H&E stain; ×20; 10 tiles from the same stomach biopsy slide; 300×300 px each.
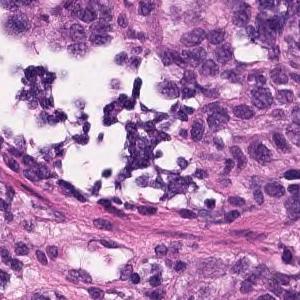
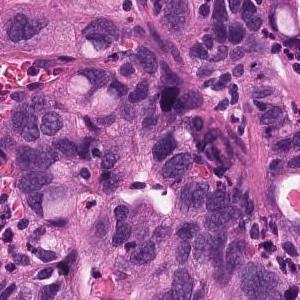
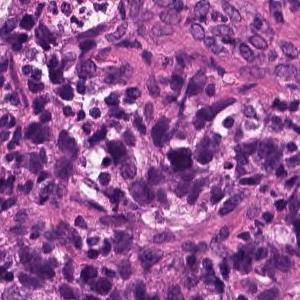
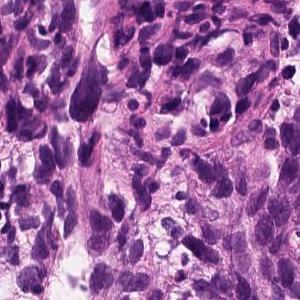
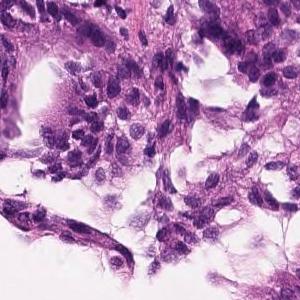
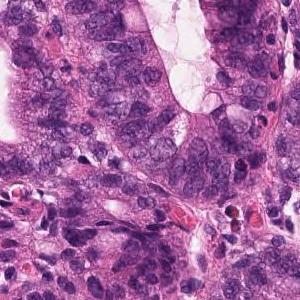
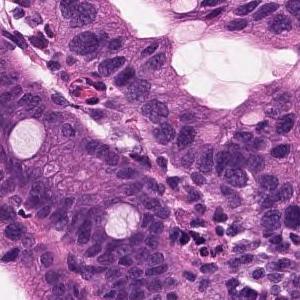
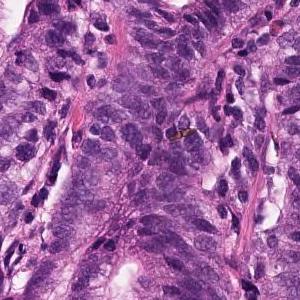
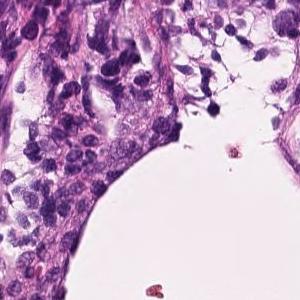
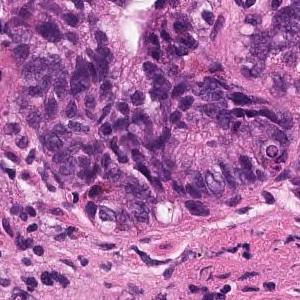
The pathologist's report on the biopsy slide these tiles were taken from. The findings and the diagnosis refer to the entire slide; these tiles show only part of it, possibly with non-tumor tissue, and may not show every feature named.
In the superficial epithelium, tumor tissue that invades by forming medium-sized to small, irregular ducts is observed. Moderately differentiated adenocarcinoma.
Tumor subtype: moderately differentiated tubular adenocarcinoma.
